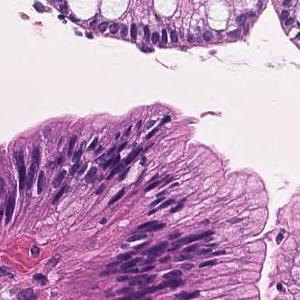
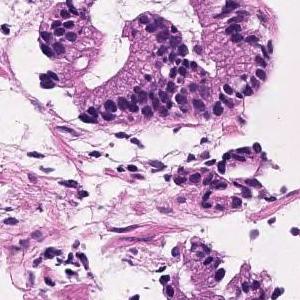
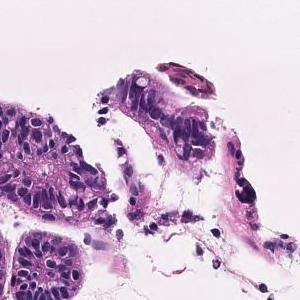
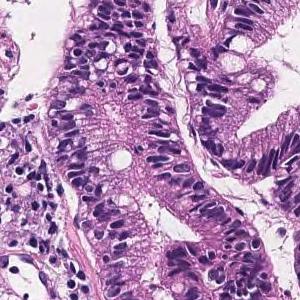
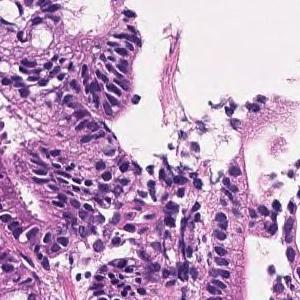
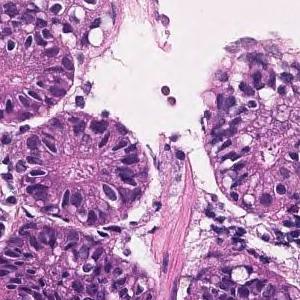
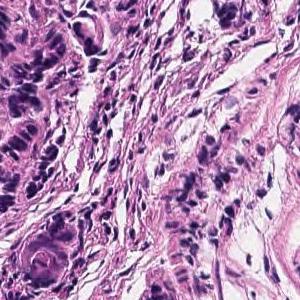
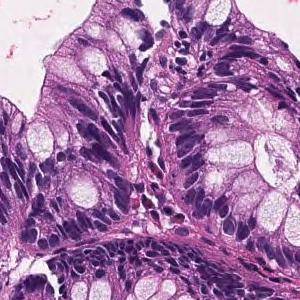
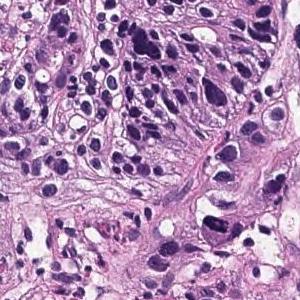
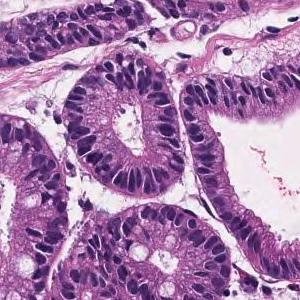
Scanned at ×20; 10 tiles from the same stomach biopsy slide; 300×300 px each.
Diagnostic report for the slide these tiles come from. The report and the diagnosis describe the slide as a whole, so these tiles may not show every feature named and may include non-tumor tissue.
Most remain in the superficial epithelium, forming medium-sized papillary or small irregular ducts and proliferating, and some tumor tissue invades the muscularis mucosae. Papillary adenocarcinoma
